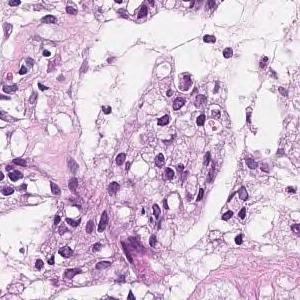
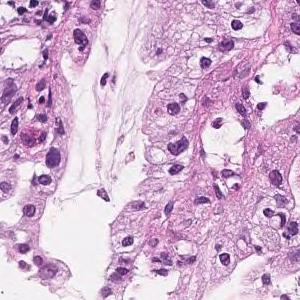
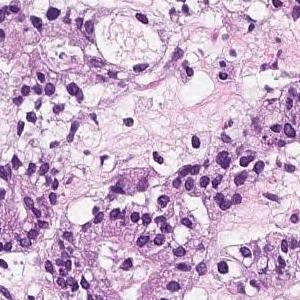
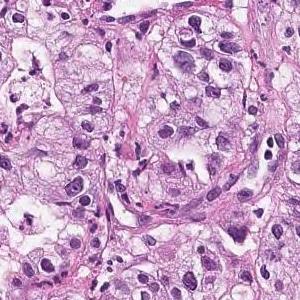
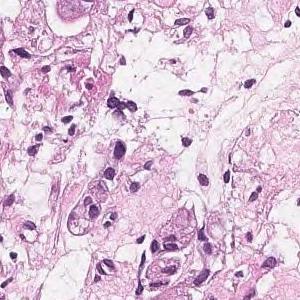
5 tiles from the same stomach biopsy slide · H&E stain · ×20.
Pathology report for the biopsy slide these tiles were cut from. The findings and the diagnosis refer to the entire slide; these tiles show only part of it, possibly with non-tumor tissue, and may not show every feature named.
In the superficial epithelium, tumor tissue that invades by forming medium-sized to small, irregular ducts is observed. moderately differentiated tubular adenocarcinoma.
